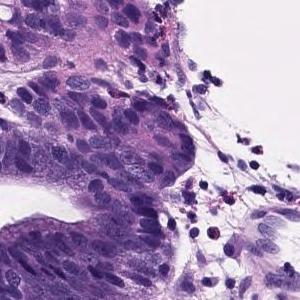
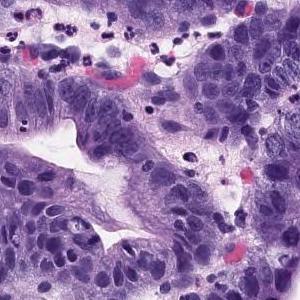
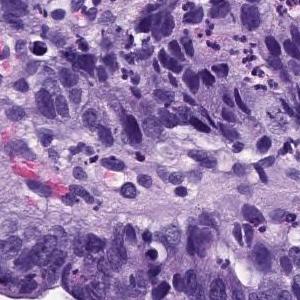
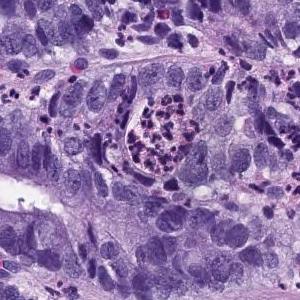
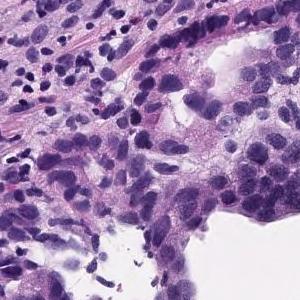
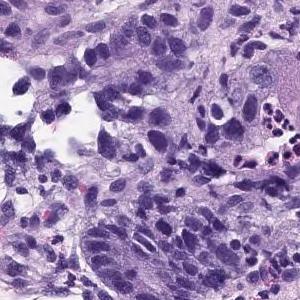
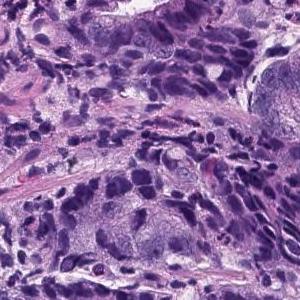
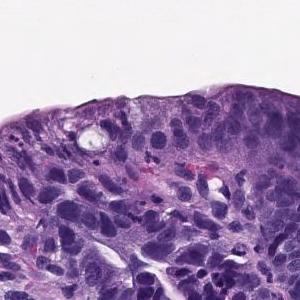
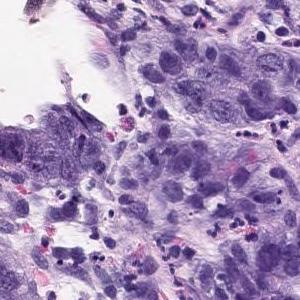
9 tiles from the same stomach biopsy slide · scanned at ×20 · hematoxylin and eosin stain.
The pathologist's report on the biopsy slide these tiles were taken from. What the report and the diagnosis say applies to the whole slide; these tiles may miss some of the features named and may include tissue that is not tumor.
Tumor tissue consisting of large papillary structures is found in the superficial epithelium. Papillary adenocarcinoma.
